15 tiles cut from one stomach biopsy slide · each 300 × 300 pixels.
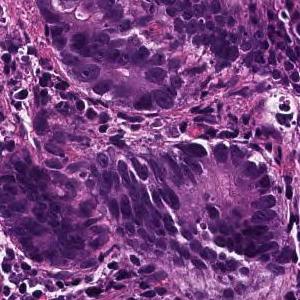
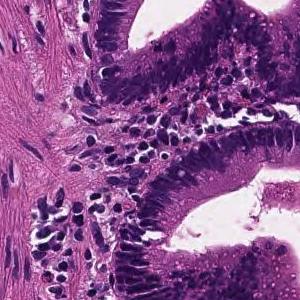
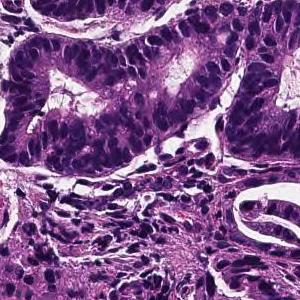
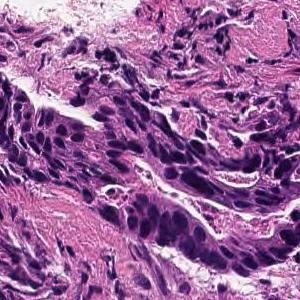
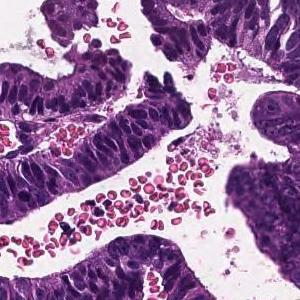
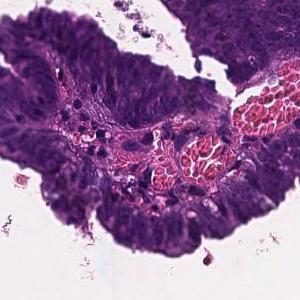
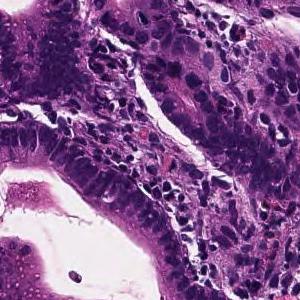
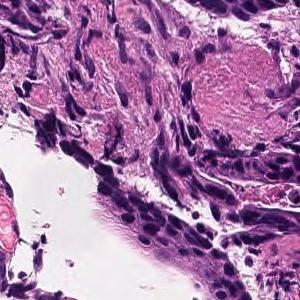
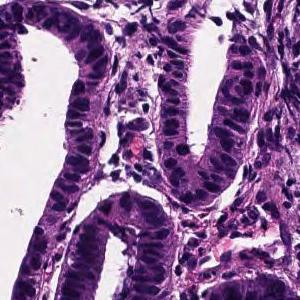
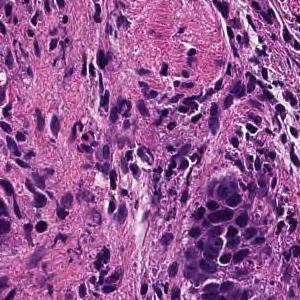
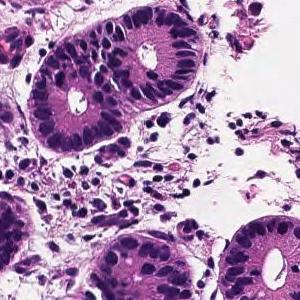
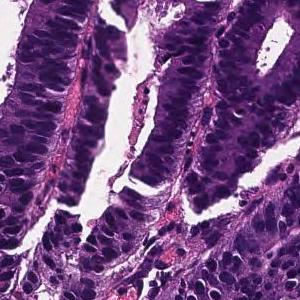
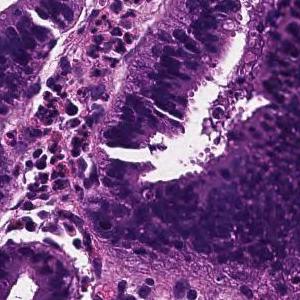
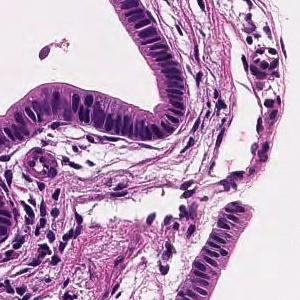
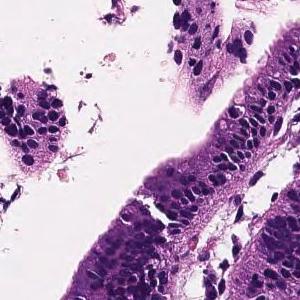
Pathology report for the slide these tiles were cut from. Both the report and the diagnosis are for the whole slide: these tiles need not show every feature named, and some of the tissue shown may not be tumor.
Tumor tissue consisting of large papillary structures is found in the superficial epithelium. Papillary adenocarcinoma.
